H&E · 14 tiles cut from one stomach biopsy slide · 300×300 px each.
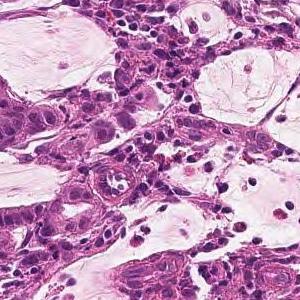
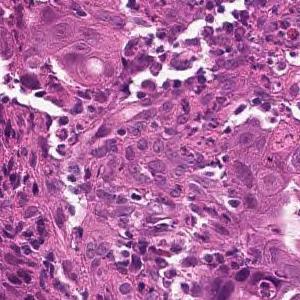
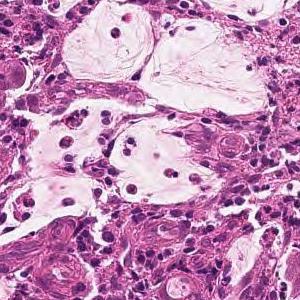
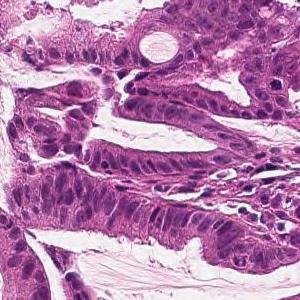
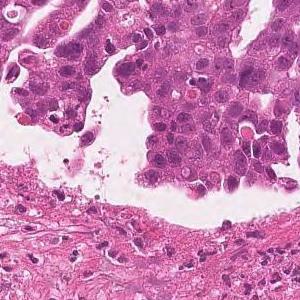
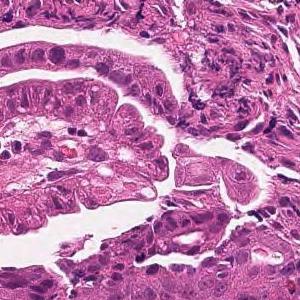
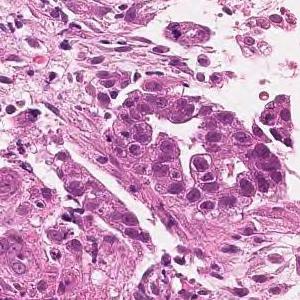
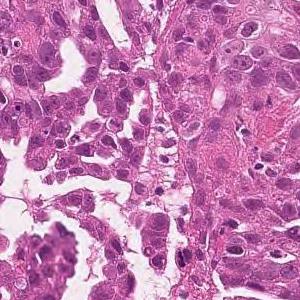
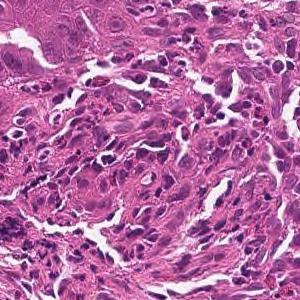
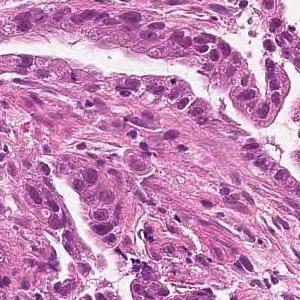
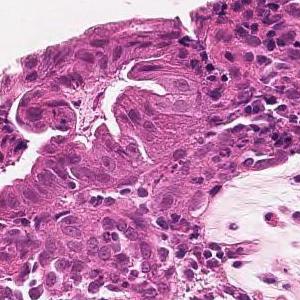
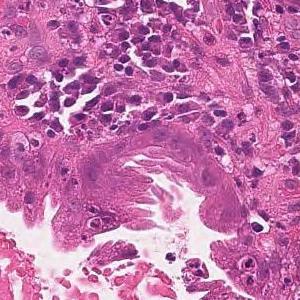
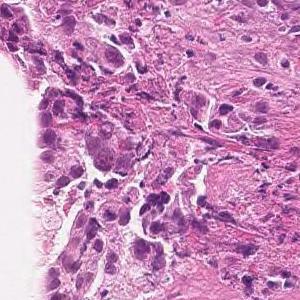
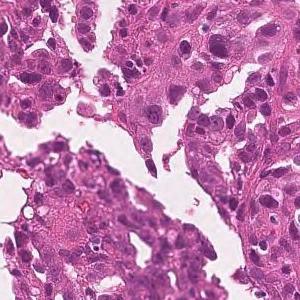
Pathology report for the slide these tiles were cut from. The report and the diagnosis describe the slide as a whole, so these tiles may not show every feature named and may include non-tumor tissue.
Tumor tissue consisting of large papillary structures is found in the superficial epithelium. Papillary adenocarcinoma.
